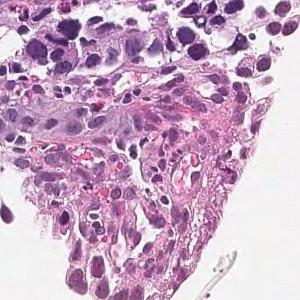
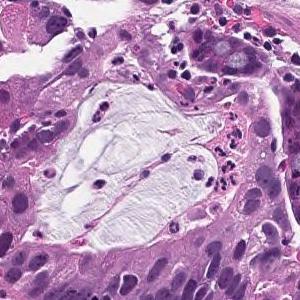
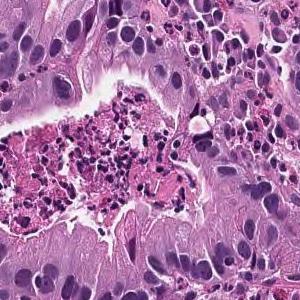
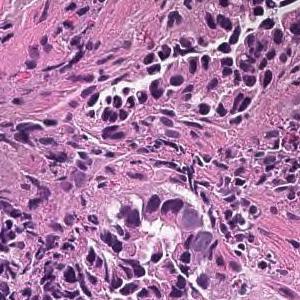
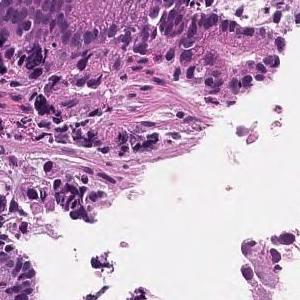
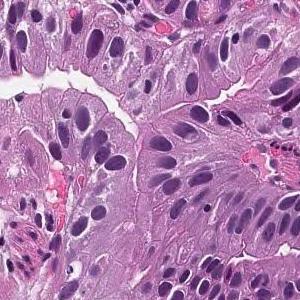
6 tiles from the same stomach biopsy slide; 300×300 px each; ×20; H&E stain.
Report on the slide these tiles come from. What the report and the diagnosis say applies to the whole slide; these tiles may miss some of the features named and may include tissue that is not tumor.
From the superficial epithelium to the muscularis mucosae, tumor tissue consisting of medium-sized and irregular glandular ducts infiltrating is observed. Well differentiated tubular adenocarcinoma
